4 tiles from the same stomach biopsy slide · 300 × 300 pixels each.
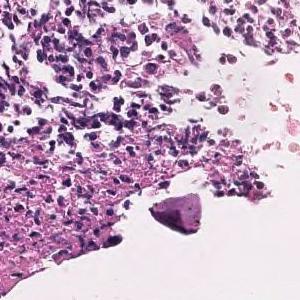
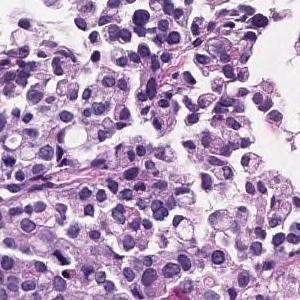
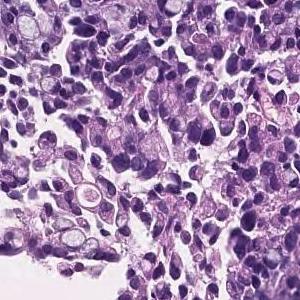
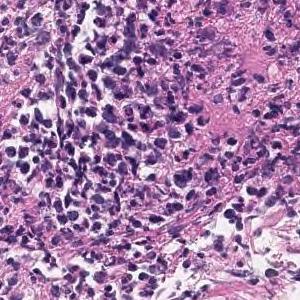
Pathology report for the biopsy slide these tiles were cut from. The report and the diagnosis cover the entire slide, so not every feature they name need be visible here, and some tissue shown may not be tumor.
The superficial epithelium shows a large sheet-like shape, and some tumor tissue infiltrates with small irregular ducts. Poorly differentiated adenocarcinoma, solid-type
Subtype: Poorly differentiated adenocarcinoma, solid type, a category of the Japanese Classification of Gastric Carcinoma; in the WHO 2019 classification it is tubular adenocarcinoma, poorly differentiated.
